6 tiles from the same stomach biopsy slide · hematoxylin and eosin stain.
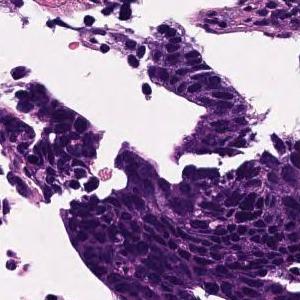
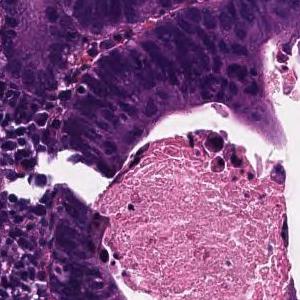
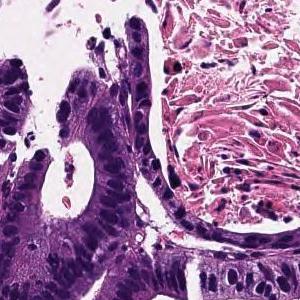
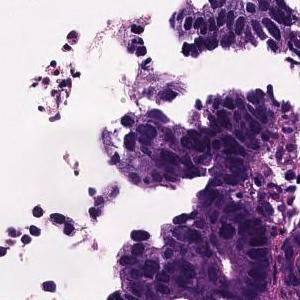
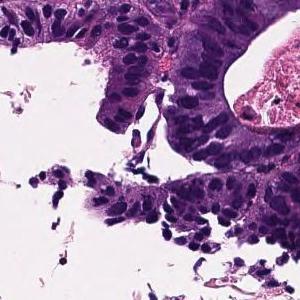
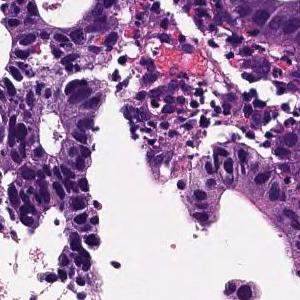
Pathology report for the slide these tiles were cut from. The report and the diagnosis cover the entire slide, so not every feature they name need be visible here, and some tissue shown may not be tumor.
In the superficial epithelium, tumor tissue that invades by forming medium-sized to small, irregular ducts is observed. moderately differentiated tubular adenocarcinoma.
